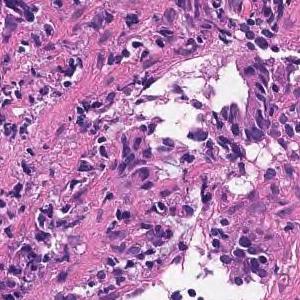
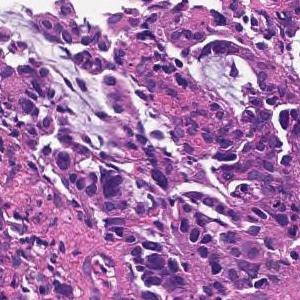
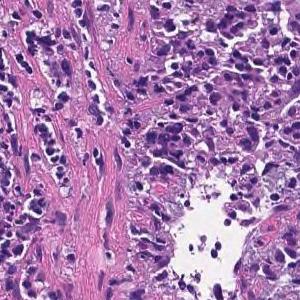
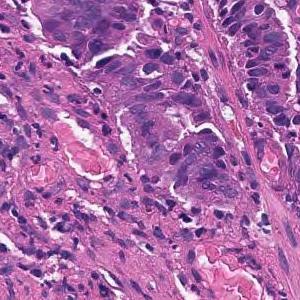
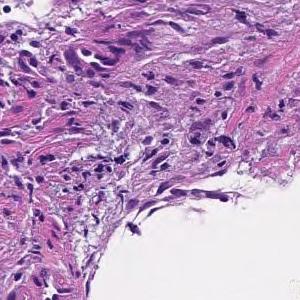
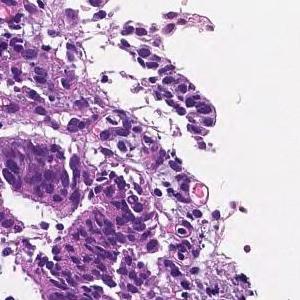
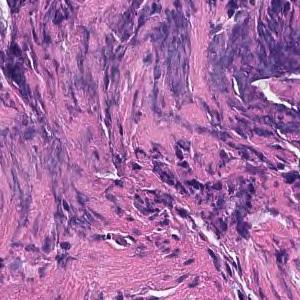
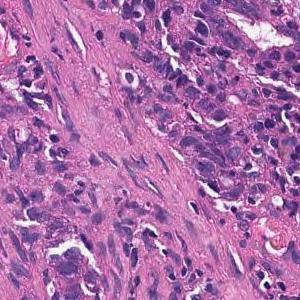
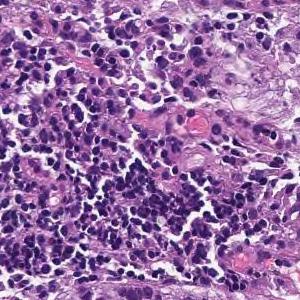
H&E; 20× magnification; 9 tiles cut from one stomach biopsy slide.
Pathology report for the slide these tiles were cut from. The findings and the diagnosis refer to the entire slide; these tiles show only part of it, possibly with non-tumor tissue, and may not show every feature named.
On the superficial epithelium, tumor tissue consisting of large, irregular glandular ducts partially fused and infiltrated is observed. Well to moderately differentiated tubular adenocarcinoma (well differentiated tubular adenocarcinoma, moderately differentiated tubular adenocarcinoma)
Tumor subtype: well to moderately differentiated tubular adenocarcinoma.
